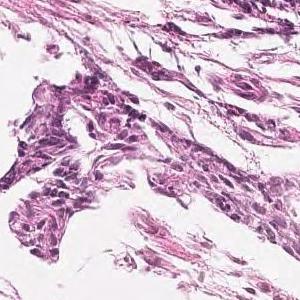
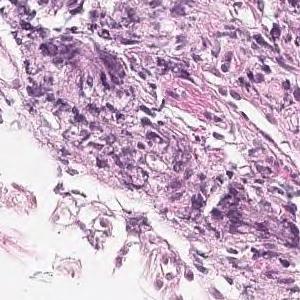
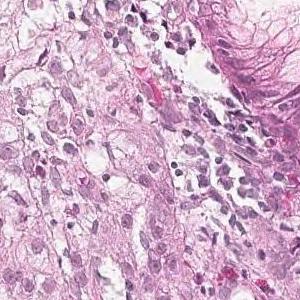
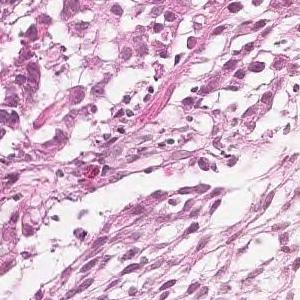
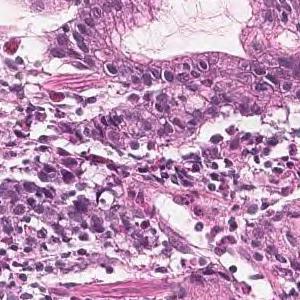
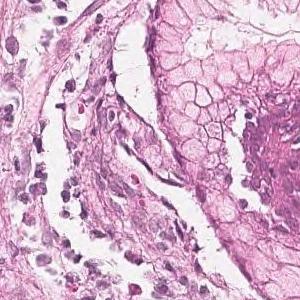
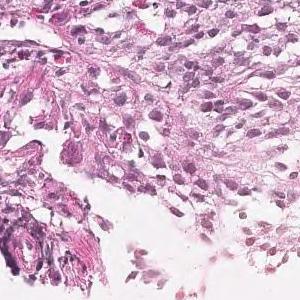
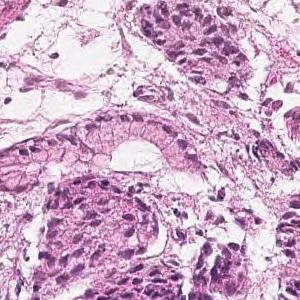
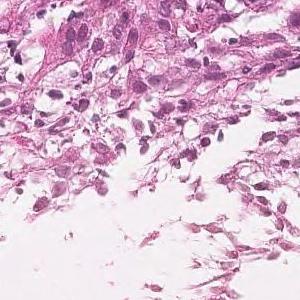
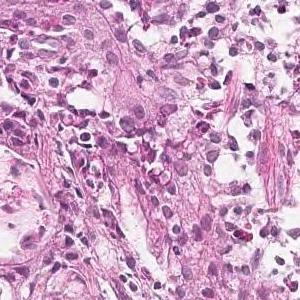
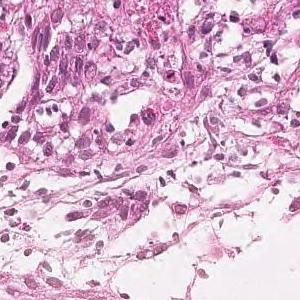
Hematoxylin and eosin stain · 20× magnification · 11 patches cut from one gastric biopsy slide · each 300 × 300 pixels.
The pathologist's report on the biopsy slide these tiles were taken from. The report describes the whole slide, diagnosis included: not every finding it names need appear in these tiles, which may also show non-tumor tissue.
Tumor tissue consisting of medium-sized, cord-like or irregular glandular infiltration is observed in the superficial epithelium. Poorly differentiated adenocarcinoma, non-solid type or moderately differentiated tubular adenocarcinoma
"Non-solid type" is a category of the Japanese Classification of Gastric Carcinoma.
